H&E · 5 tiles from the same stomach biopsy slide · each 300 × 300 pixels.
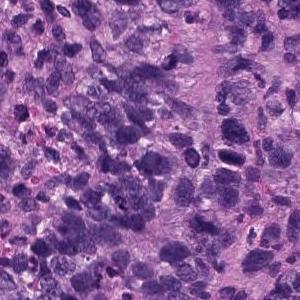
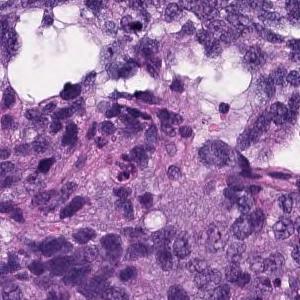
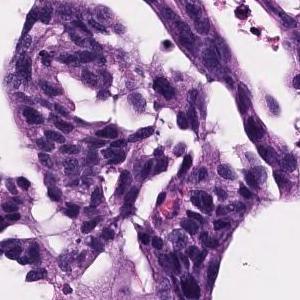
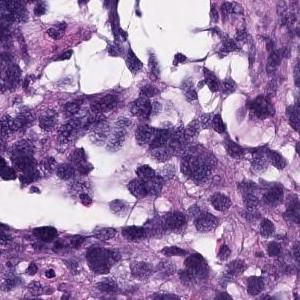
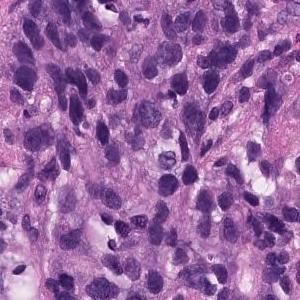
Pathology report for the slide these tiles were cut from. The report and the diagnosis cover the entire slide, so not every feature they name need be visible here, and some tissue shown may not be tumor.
Atypical l cells with atypical nuclei under the mucosa growing in isolation and scattered. Poorly differentiated adenocarcinoma (poorly differentiated adenocarcinoma, non-solid type)
Tumor subtype: poorly differentiated adenocarcinoma, non-solid type.
The non-solid type named here is a Japanese Classification of Gastric Carcinoma category.
